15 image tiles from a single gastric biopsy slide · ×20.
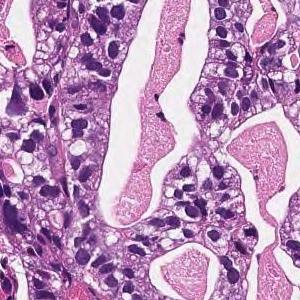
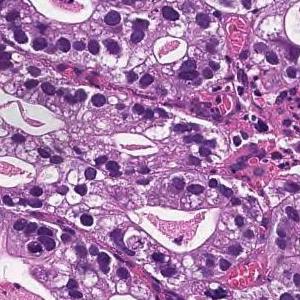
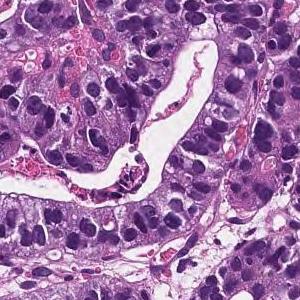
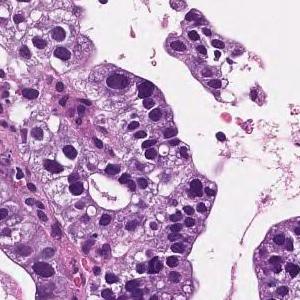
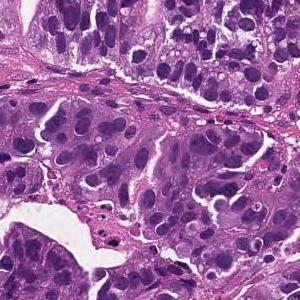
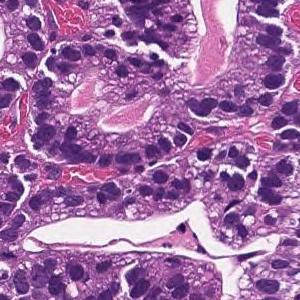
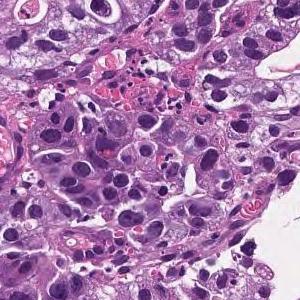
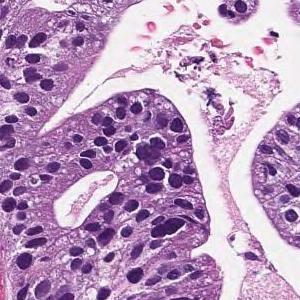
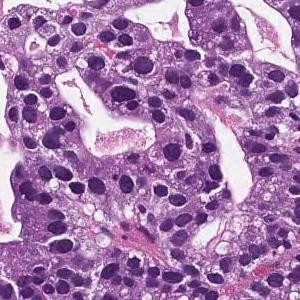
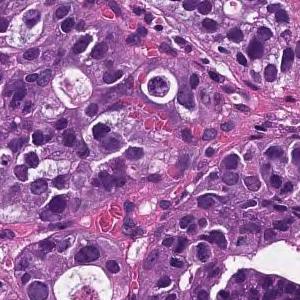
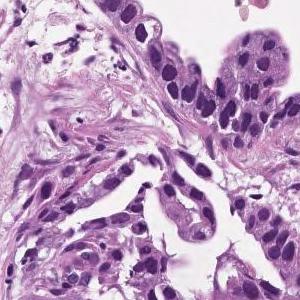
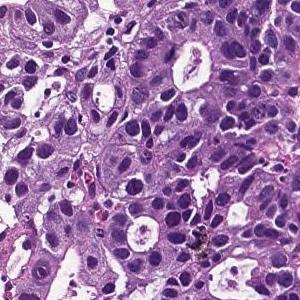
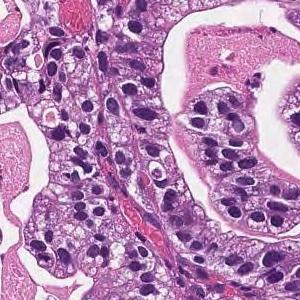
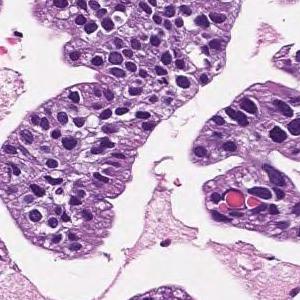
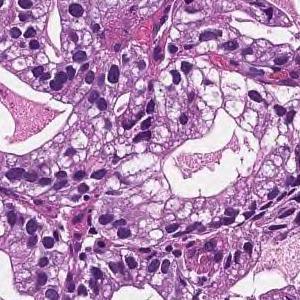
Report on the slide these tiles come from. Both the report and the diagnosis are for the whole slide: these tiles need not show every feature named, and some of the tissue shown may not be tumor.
On the superficial epithelium, tumor tissue consisting of large, irregular glandular ducts partially fused and infiltrated is observed. Well to moderately differentiated tubular adenocarcinoma (well differentiated tubular adenocarcinoma, moderately differentiated tubular adenocarcinoma)
Subtype: Well to moderately differentiated tubular adenocarcinoma.
